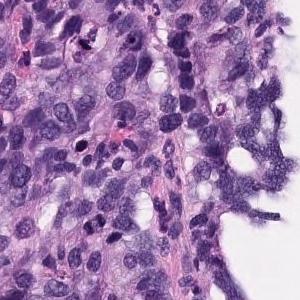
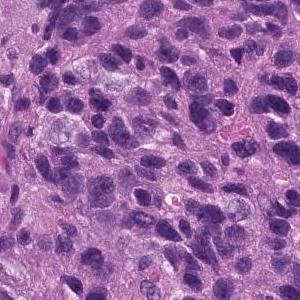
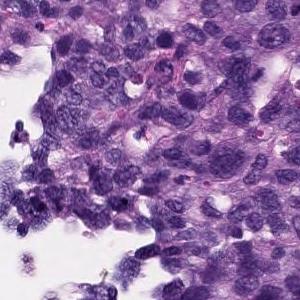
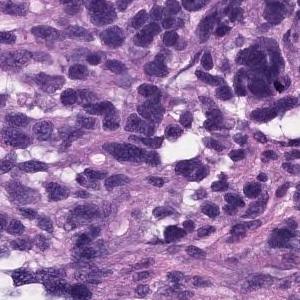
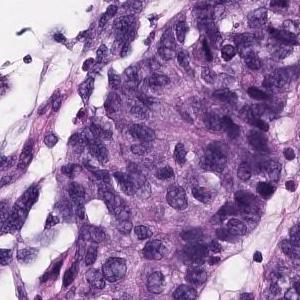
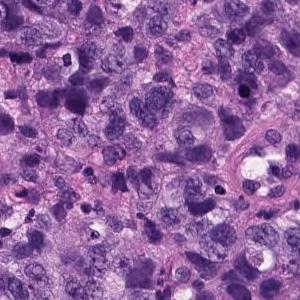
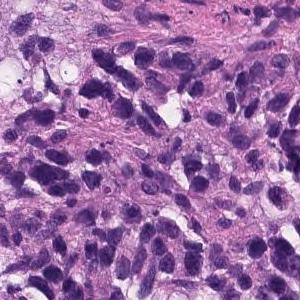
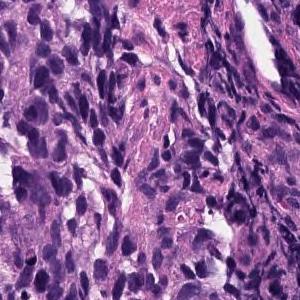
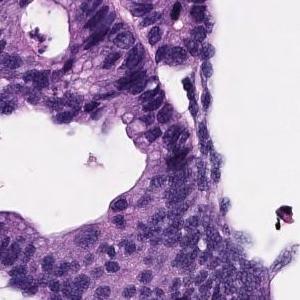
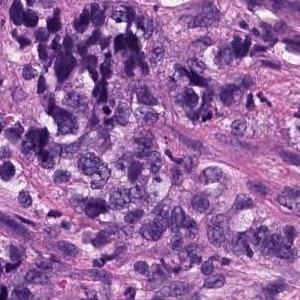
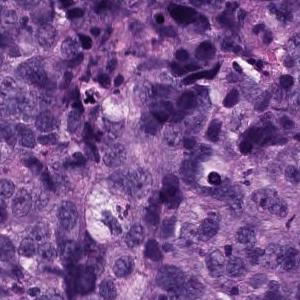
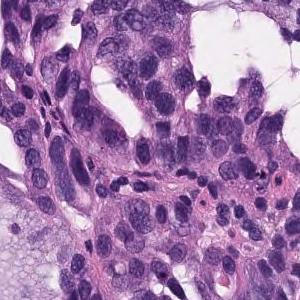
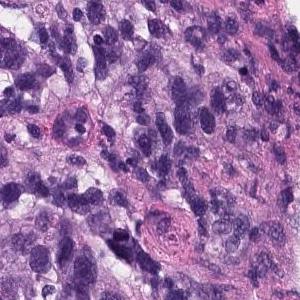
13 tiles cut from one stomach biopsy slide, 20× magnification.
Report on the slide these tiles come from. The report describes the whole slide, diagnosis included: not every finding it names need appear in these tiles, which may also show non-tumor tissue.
Atypical l cells with atypical nuclei under the mucosa growing in isolation and scattered. Poorly differentiated adenocarcinoma (poorly differentiated adenocarcinoma, non-solid type)
Histologic type: Poorly differentiated adenocarcinoma, non-solid type.
"Non-solid type" is a category of the Japanese Classification of Gastric Carcinoma.
